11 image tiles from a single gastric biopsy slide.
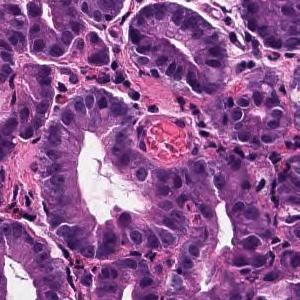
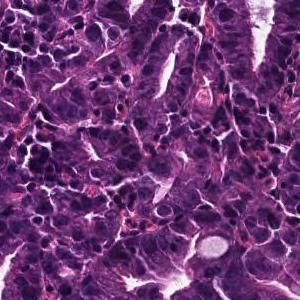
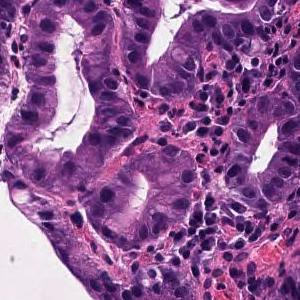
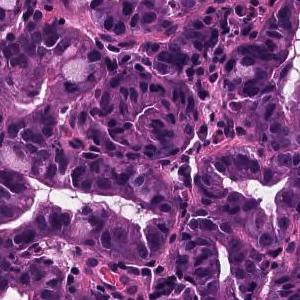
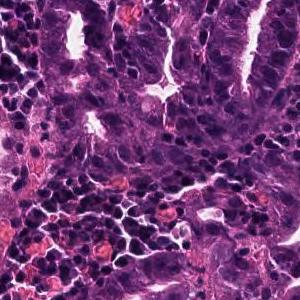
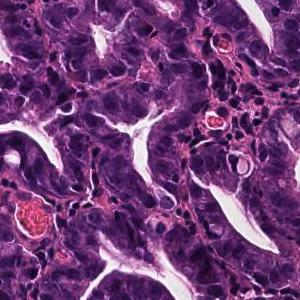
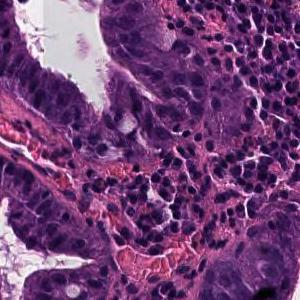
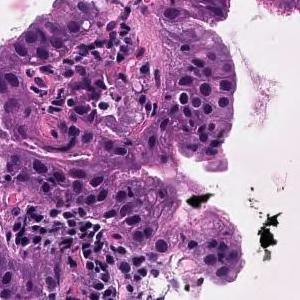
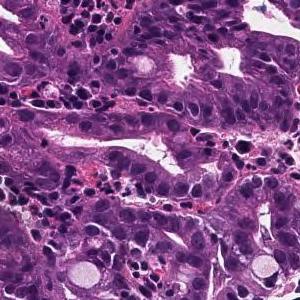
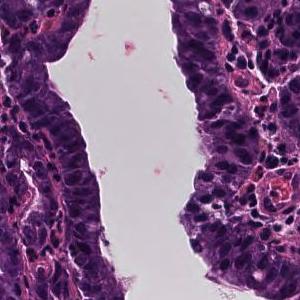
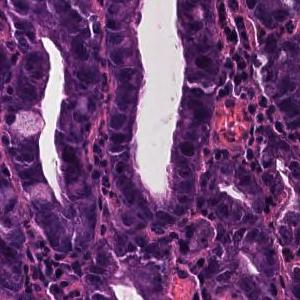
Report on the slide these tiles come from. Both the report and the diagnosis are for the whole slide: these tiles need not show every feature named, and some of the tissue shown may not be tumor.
Atypical tubular proliferation of well to moderately differentiated gastric gland with hyperchromatic nuclei and high N:C ratio. Mitotic figures were also present. These histological findings were suggestive of well to moderately differentiated tubular adenocarcinoma (well differentiated tubular adenocarcinoma, moderately differentiated tubular adenocarcinoma).
The dataset labels this slide well differentiated tubular adenocarcinoma.
